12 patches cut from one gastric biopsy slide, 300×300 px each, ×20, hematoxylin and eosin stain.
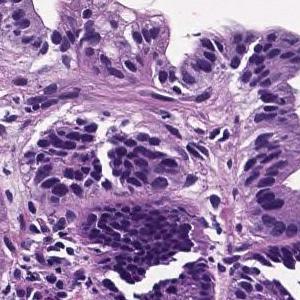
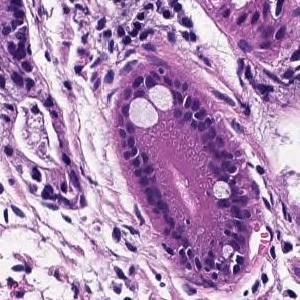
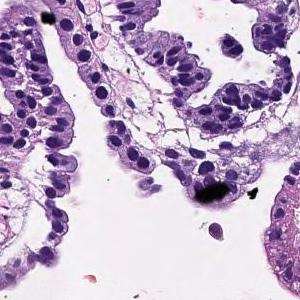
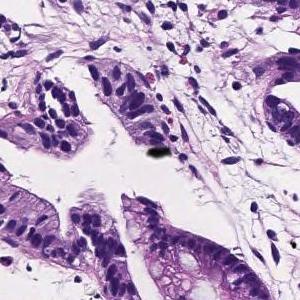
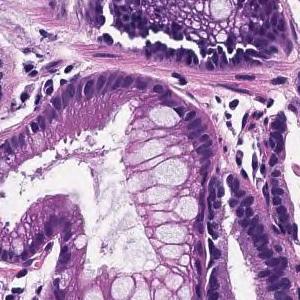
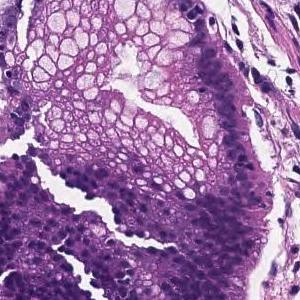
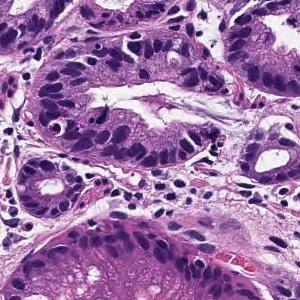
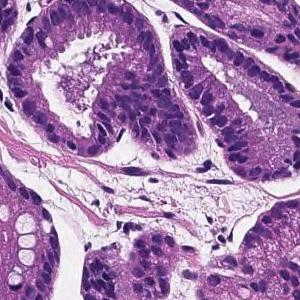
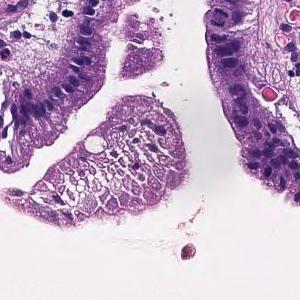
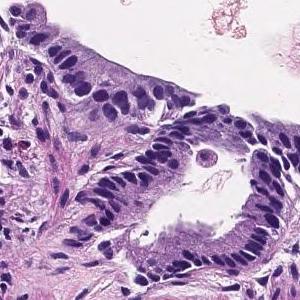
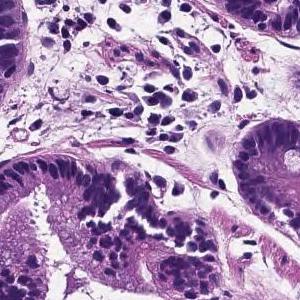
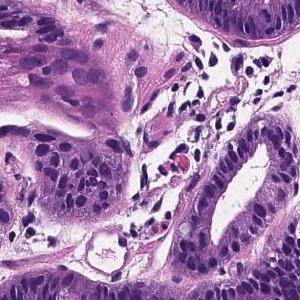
The pathologist's report on the biopsy slide these tiles were taken from. The report describes the whole slide, diagnosis included: not every finding it names need appear in these tiles, which may also show non-tumor tissue.
Tumor cells are large, highly columnar, large club-shaped nuclei, and are associated with chromatin aggregation. Papillary adenocarcinoma.
